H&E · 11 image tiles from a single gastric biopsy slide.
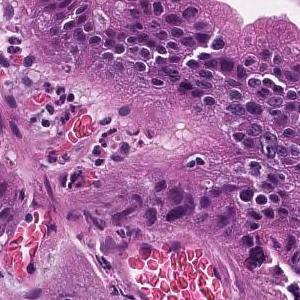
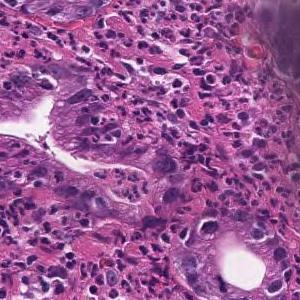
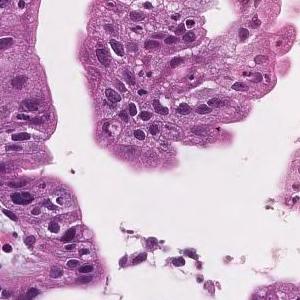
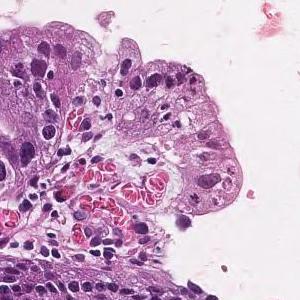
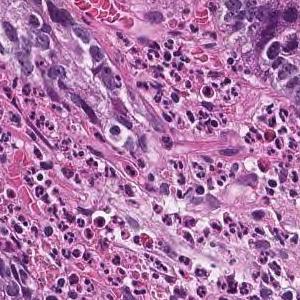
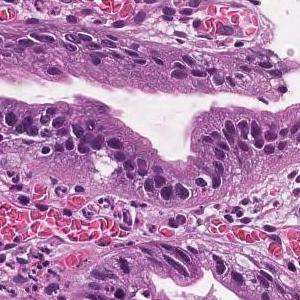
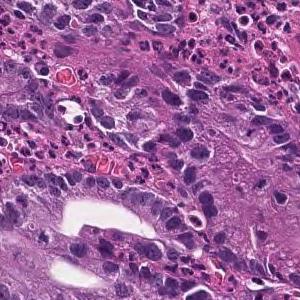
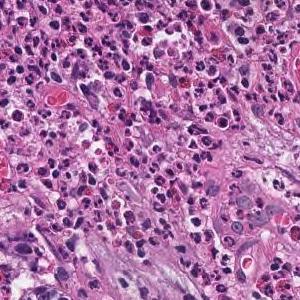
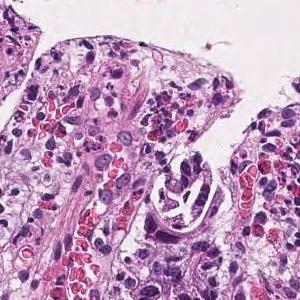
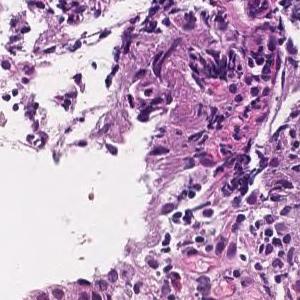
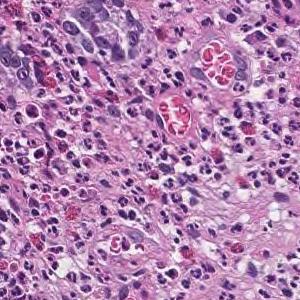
Pathology report for the biopsy slide these tiles were cut from. The findings and the diagnosis refer to the entire slide; these tiles show only part of it, possibly with non-tumor tissue, and may not show every feature named.
Tumor cells are large, highly columnar, large club-shaped nuclei, and are associated with chromatin aggregation. Papillary adenocarcinoma.
